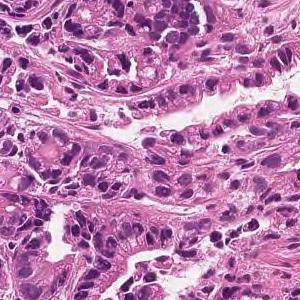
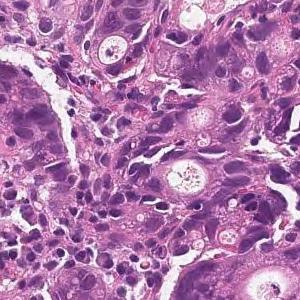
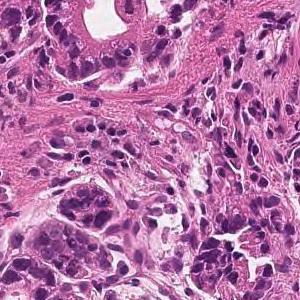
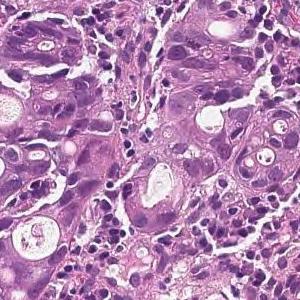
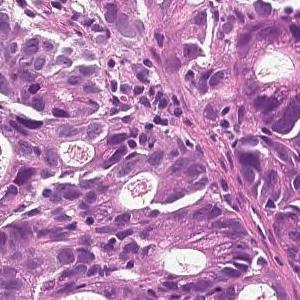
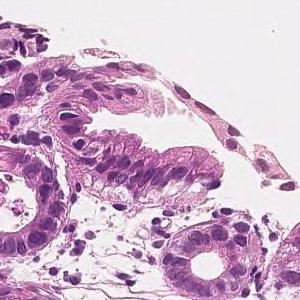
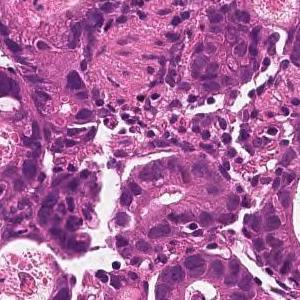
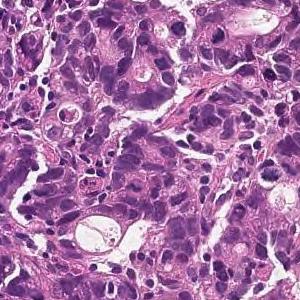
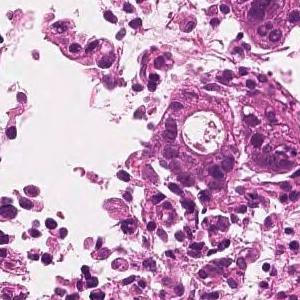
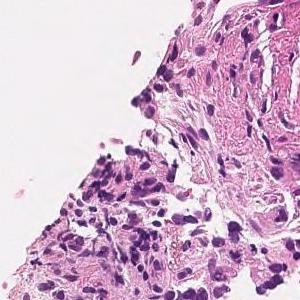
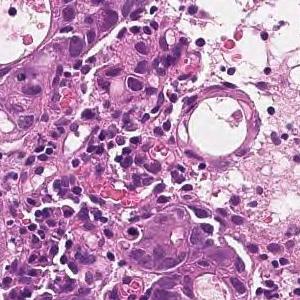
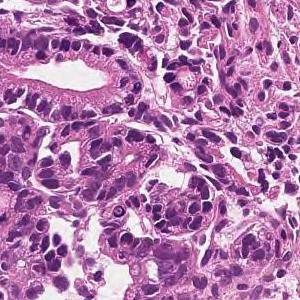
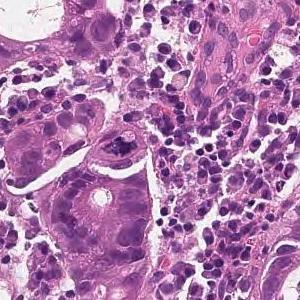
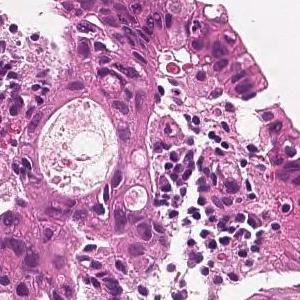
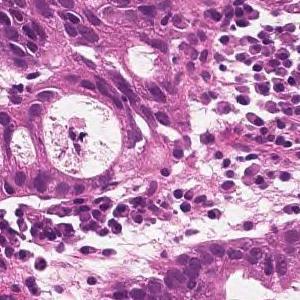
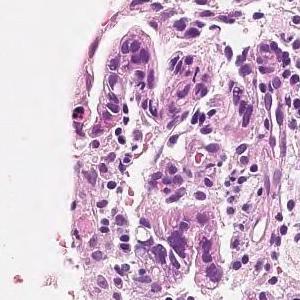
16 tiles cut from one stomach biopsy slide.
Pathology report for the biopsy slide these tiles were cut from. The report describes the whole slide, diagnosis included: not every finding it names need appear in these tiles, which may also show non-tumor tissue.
On the superficial epithelium, tumor tissue is found in which medium-sized irregular gland ducts fuse with each other and infiltrate. moderately differentiated tubular adenocarcinoma
